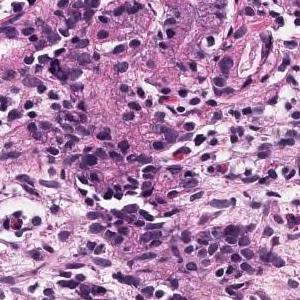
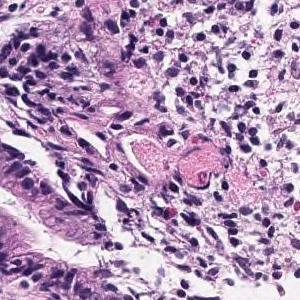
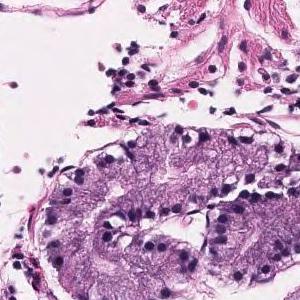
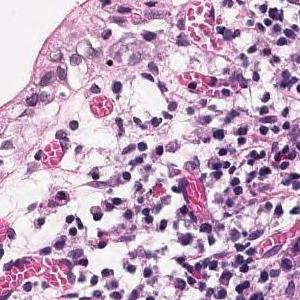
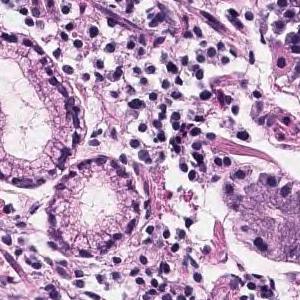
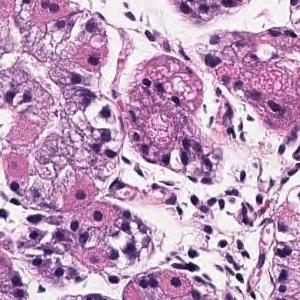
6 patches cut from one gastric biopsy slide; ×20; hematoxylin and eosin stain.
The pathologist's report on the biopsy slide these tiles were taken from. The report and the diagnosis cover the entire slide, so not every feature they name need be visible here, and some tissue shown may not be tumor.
Tumor tissue that grows and grows is observed, showing a medium-sized round or irregular duct. moderately differentiated tubular adenocarcinoma
